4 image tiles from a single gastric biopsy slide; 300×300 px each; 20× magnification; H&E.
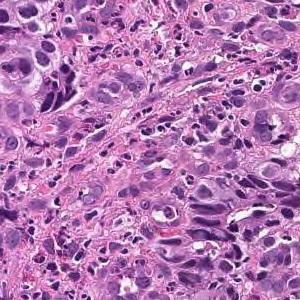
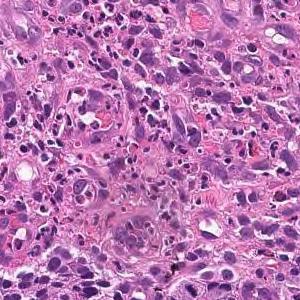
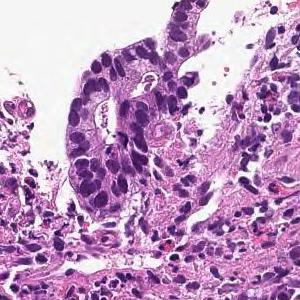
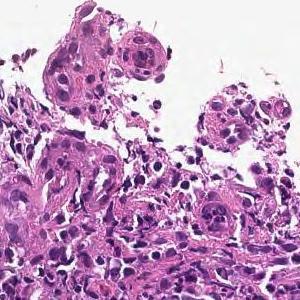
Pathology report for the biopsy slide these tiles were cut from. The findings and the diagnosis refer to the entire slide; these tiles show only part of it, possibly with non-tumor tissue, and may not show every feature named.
On the superficial epithelium, tumor tissue consisting of large irregular glandular ducts partially fused and infiltrated is observed. Well to moderately differentiated tubular adenocarcinoma (well differentiated tubular adenocarcinoma, moderately differentiated tubular adenocarcinoma)
Histologic type: Well to moderately differentiated tubular adenocarcinoma.
